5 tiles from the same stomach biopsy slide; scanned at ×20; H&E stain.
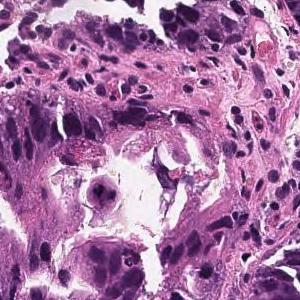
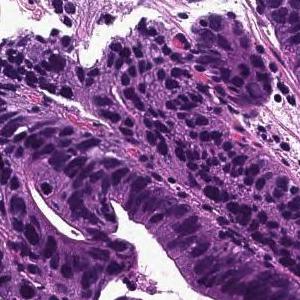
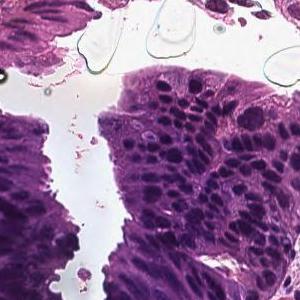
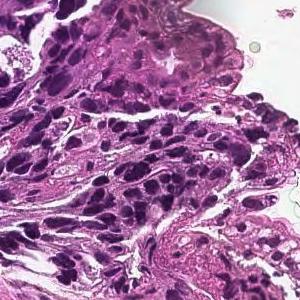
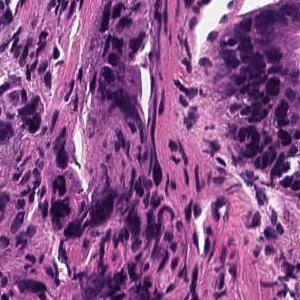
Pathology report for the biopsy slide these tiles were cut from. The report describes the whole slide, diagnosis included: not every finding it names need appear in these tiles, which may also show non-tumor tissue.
In the superficial epithelium, tumor tissue that invades by forming medium-sized to small, irregular ducts is observed. moderately differentiated tubular adenocarcinoma.
